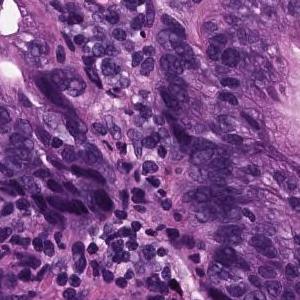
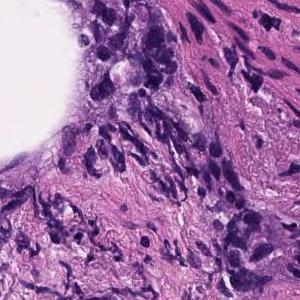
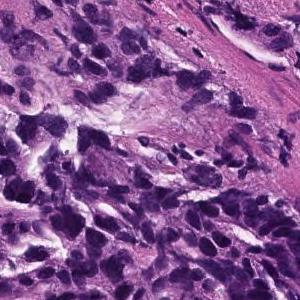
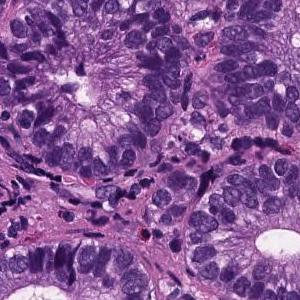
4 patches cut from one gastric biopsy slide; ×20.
Pathology report for the biopsy slide these tiles were cut from. What the report and the diagnosis say applies to the whole slide; these tiles may miss some of the features named and may include tissue that is not tumor.
In the superficial epithelium, tumor tissue that invades by forming medium-sized to small, irregular ducts is observed. Moderately differentiated adenocarcinoma.
Classified as moderately differentiated tubular adenocarcinoma.
